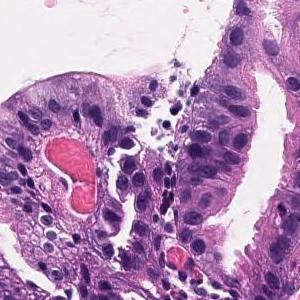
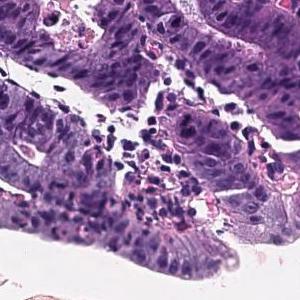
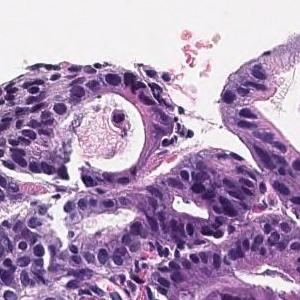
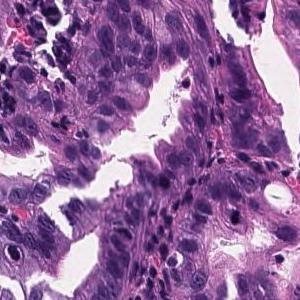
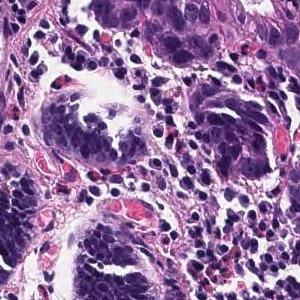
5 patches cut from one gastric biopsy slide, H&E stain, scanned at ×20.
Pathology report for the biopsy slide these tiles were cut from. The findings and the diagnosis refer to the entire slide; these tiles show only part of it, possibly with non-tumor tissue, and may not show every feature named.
Atypical ducts are found against the background of intestinal metaplasia. Moderately differentiated tubular adenocarcinoma, Well differentiated tubular adenocarcinoma.
